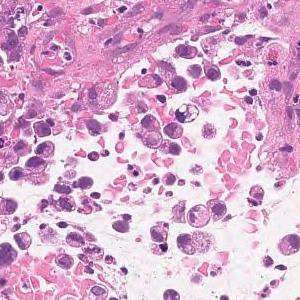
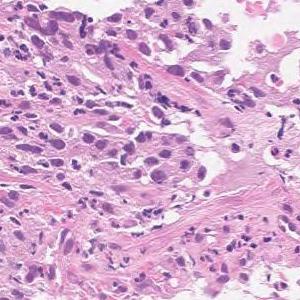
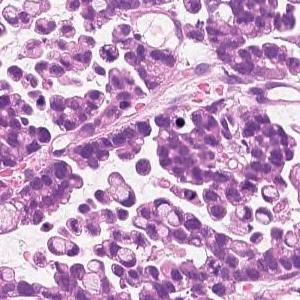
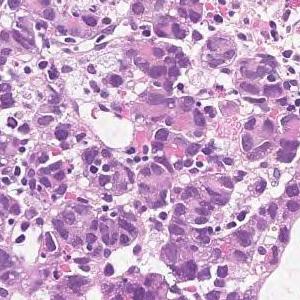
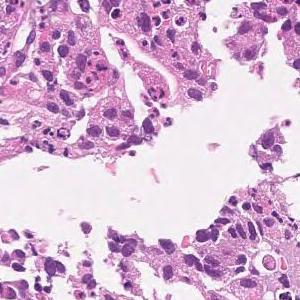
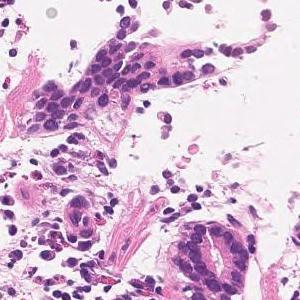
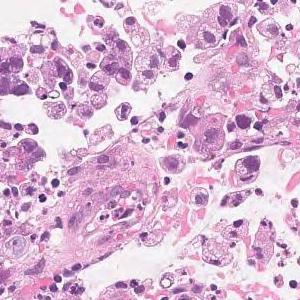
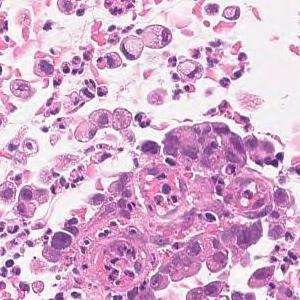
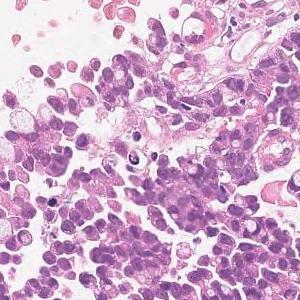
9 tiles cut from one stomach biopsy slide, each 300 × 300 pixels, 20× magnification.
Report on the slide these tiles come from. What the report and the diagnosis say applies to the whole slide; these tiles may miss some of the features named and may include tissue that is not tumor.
Medium to small, irregular glandular ducts are formed in the superficial epithelium, and in some cases, the glandular ducts are fused to show solid alveolar lesions and infiltrating tumor tissue is observed. Moderately to poorly differentiated adenocarcinoma.
